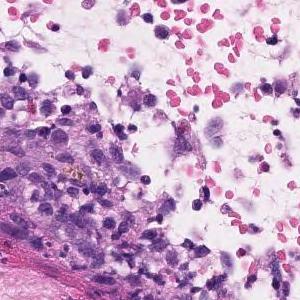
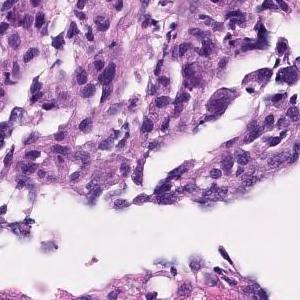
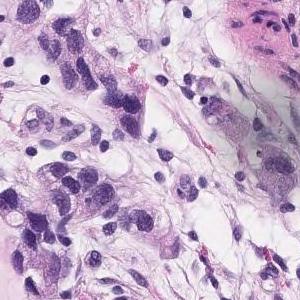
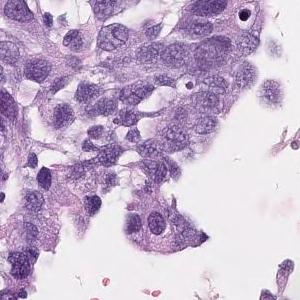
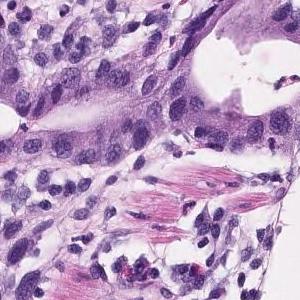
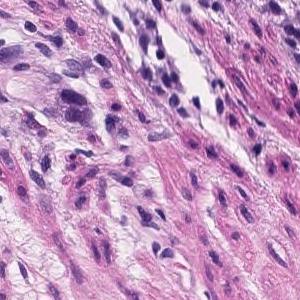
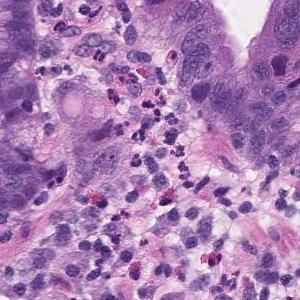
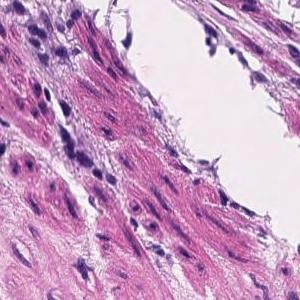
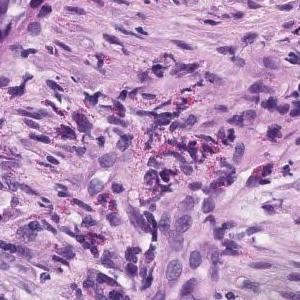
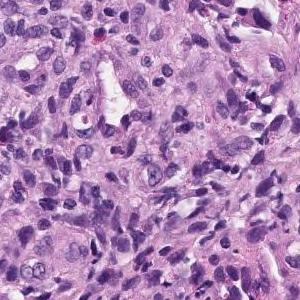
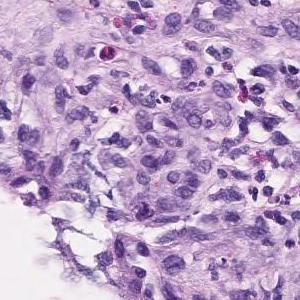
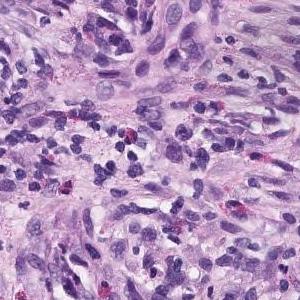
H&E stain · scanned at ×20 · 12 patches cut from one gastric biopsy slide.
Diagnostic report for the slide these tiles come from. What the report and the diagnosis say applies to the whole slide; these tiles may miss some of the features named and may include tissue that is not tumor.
Group 5, Adenocarcinoma. Moderately to poorly differentiated adenocarcinoma
